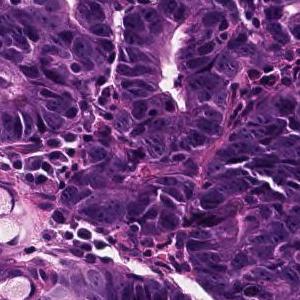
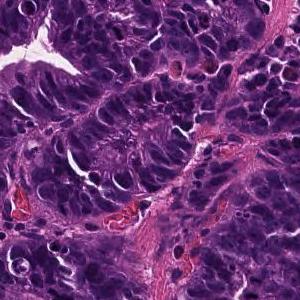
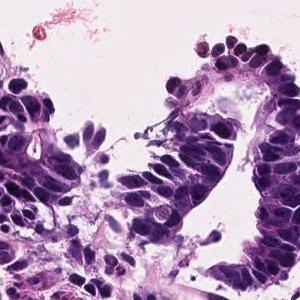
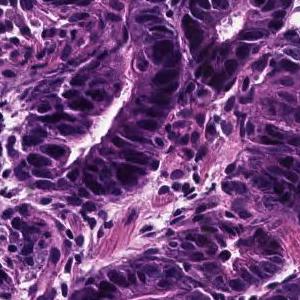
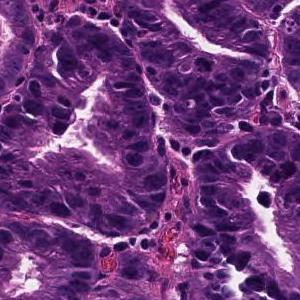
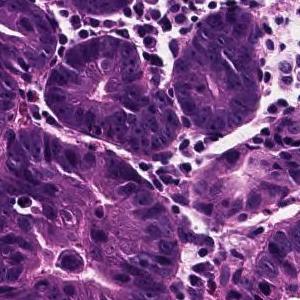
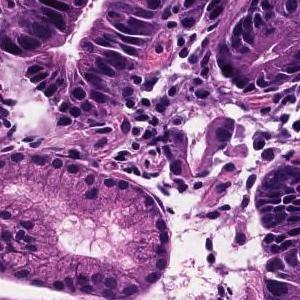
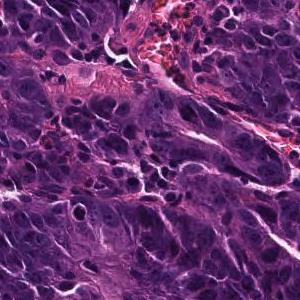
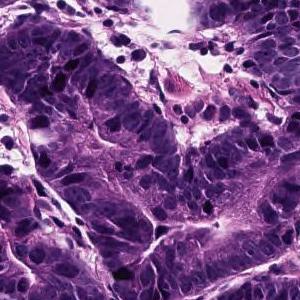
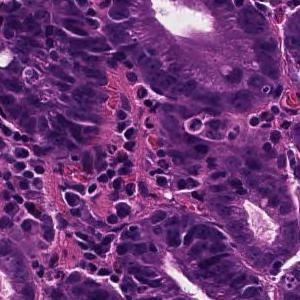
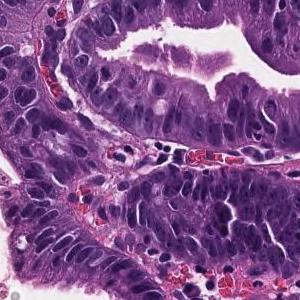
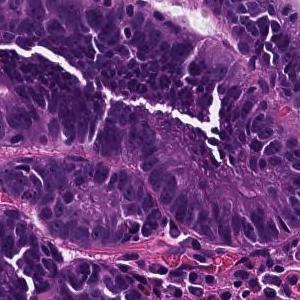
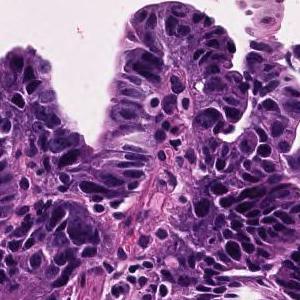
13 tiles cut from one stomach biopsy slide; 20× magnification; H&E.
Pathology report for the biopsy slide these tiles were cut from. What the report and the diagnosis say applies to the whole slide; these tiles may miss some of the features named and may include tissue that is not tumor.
On the superficial epithelium, tumor tissue consisting of growth of medium-sized to large-sized, round or irregular glandular ducts is observed. Well differentiated tubular adenocarcinoma
